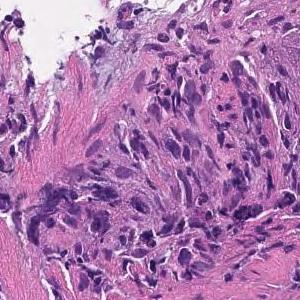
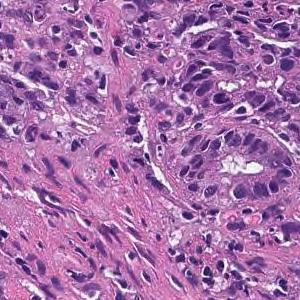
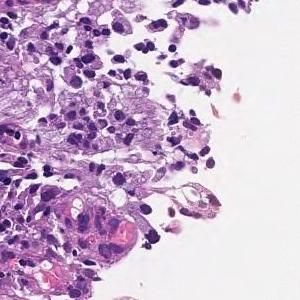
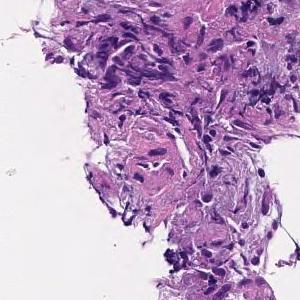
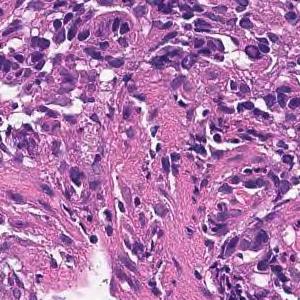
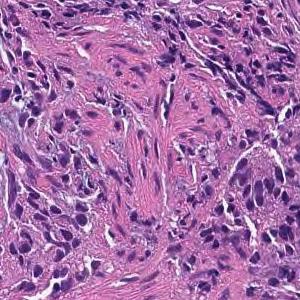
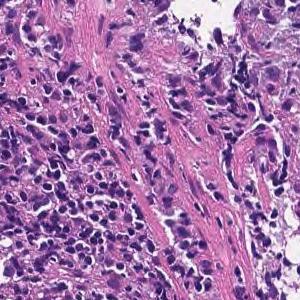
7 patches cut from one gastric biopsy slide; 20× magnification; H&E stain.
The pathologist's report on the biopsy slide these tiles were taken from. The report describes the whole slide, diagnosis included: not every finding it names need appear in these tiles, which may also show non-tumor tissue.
On the superficial epithelium, tumor tissue consisting of large, irregular glandular ducts partially fused and infiltrated is observed. Well to moderately differentiated tubular adenocarcinoma (well differentiated tubular adenocarcinoma, moderately differentiated tubular adenocarcinoma)
Subtype: Well to moderately differentiated tubular adenocarcinoma.
